H&E, 14 tiles cut from one stomach biopsy slide, each 300 × 300 pixels.
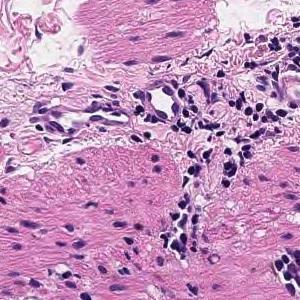
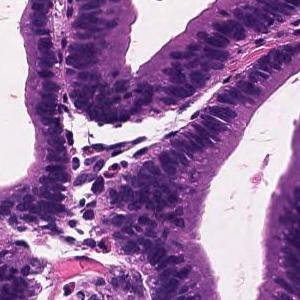
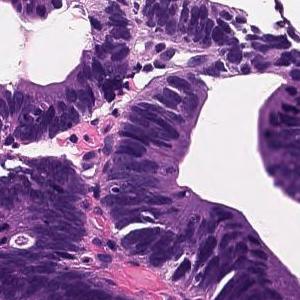
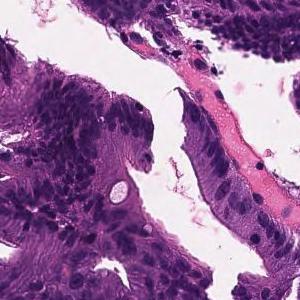
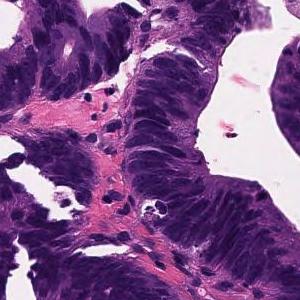
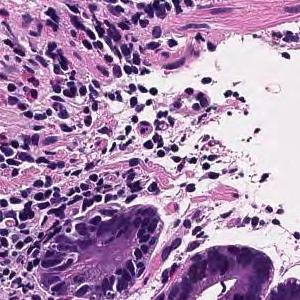
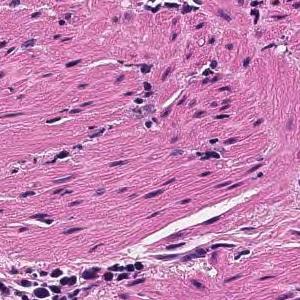
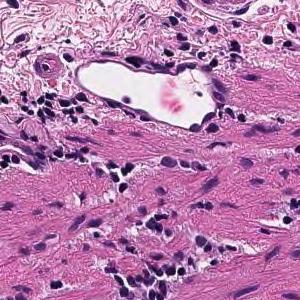
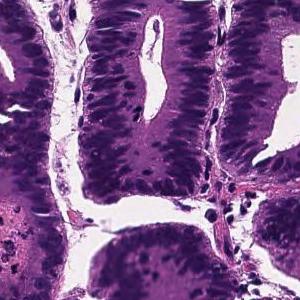
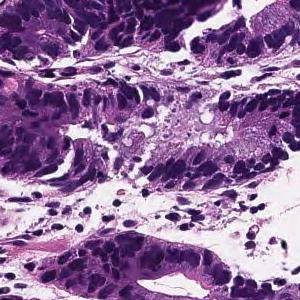
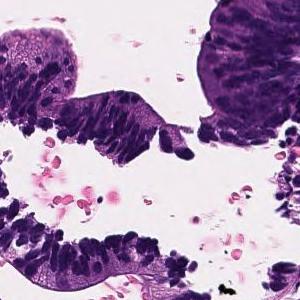
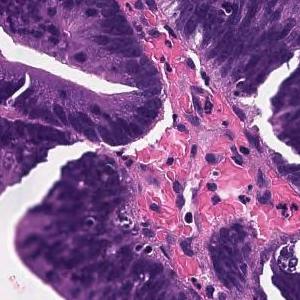
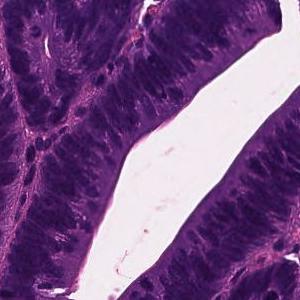
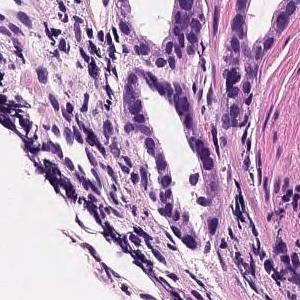
Report on the slide these tiles come from. The report and the diagnosis cover the entire slide, so not every feature they name need be visible here, and some tissue shown may not be tumor.
Tumor tissue consisting of large papillary structures is found in the superficial epithelium. Papillary adenocarcinoma.
